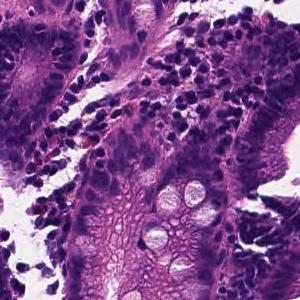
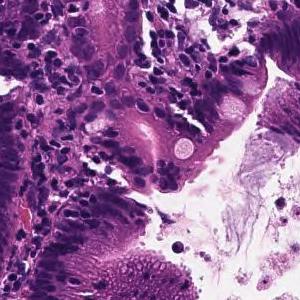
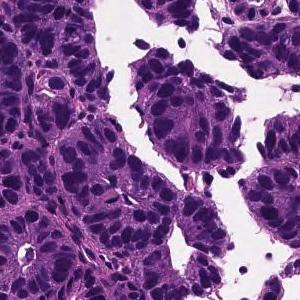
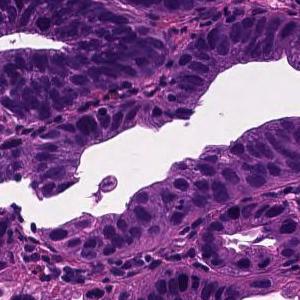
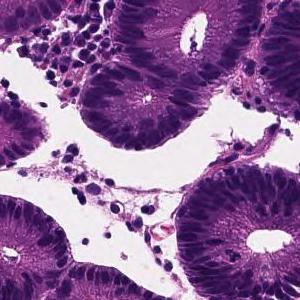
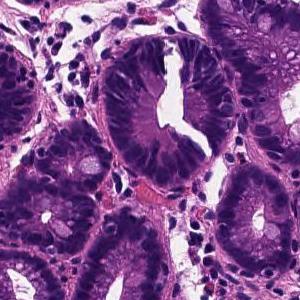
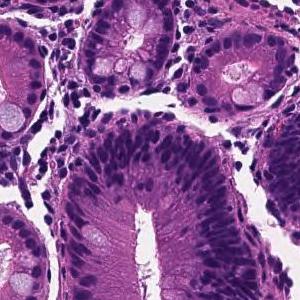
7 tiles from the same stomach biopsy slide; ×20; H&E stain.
Pathology report for the slide these tiles were cut from. What the report and the diagnosis say applies to the whole slide; these tiles may miss some of the features named and may include tissue that is not tumor.
Tumor tissue in which medium to small irregular ducts infiltrate and proliferate in the submucosa can be seen in the epithelium. Well differentiated tubular adenocarcinoma
